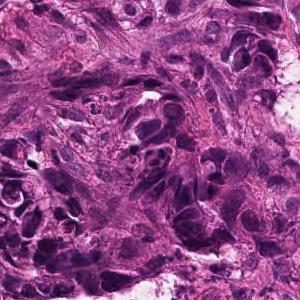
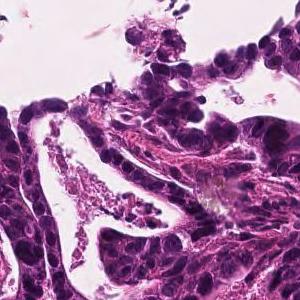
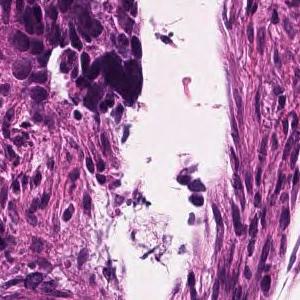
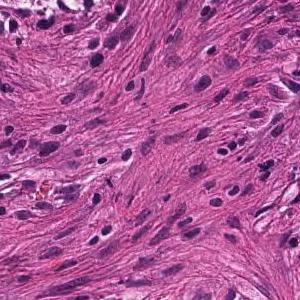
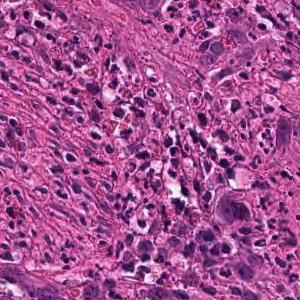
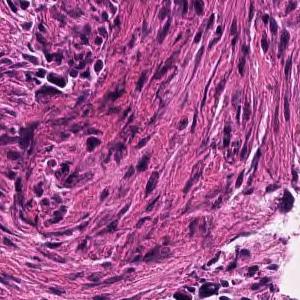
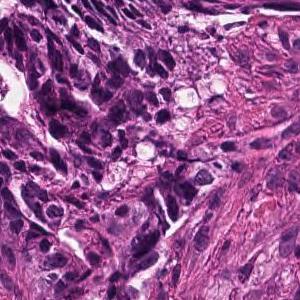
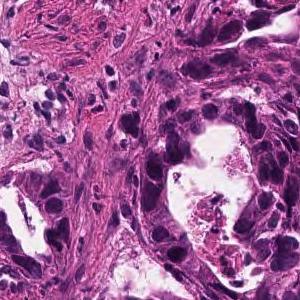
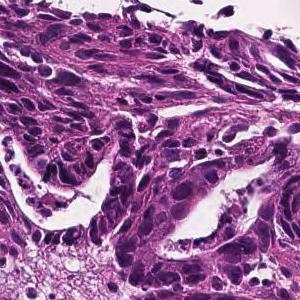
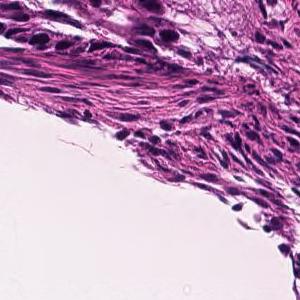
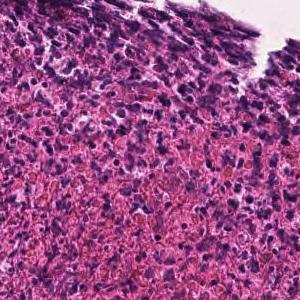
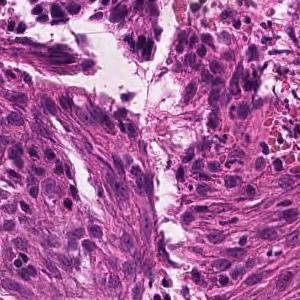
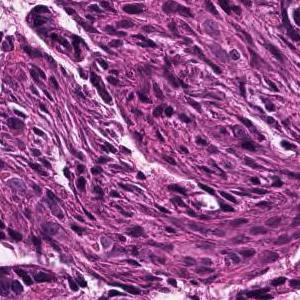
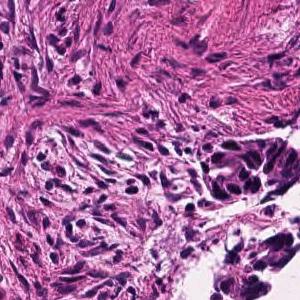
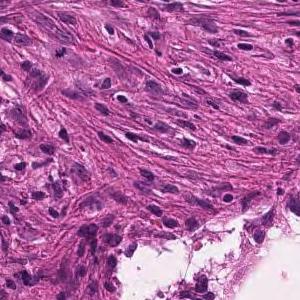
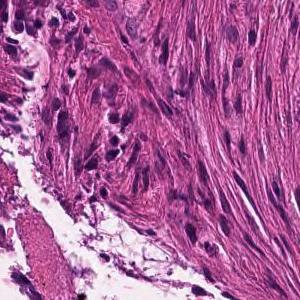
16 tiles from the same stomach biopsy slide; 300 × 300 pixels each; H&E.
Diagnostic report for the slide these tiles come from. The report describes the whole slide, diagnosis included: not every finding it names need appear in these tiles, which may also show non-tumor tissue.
In the superficial epithelium, tumor tissue that invades by forming medium-sized to small, irregular ducts is observed. moderately differentiated tubular adenocarcinoma.
